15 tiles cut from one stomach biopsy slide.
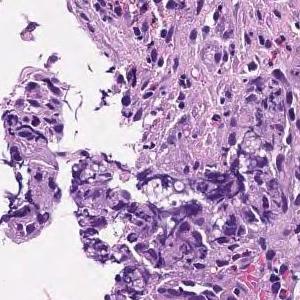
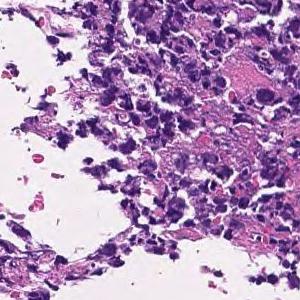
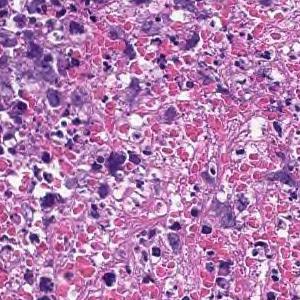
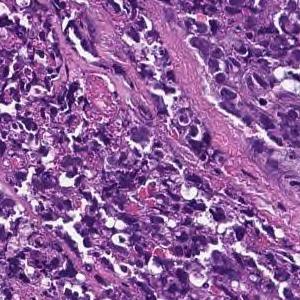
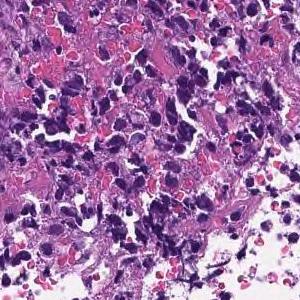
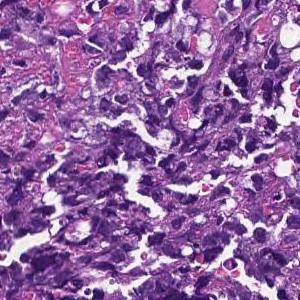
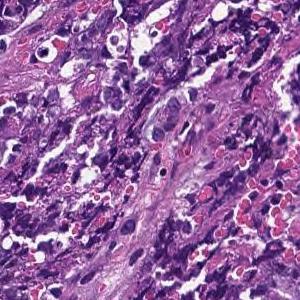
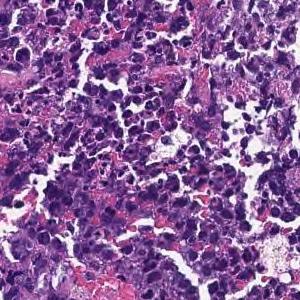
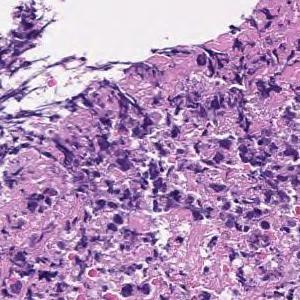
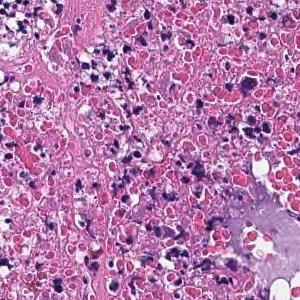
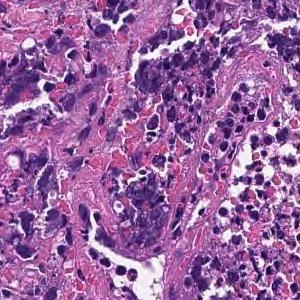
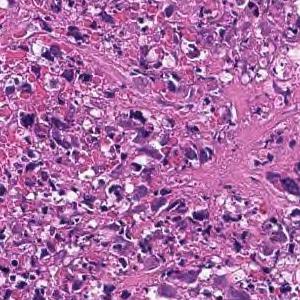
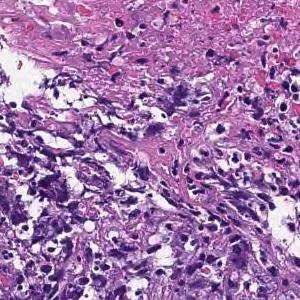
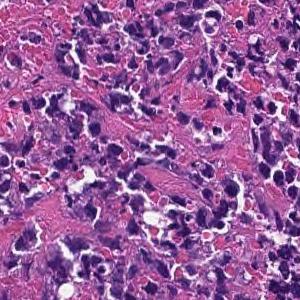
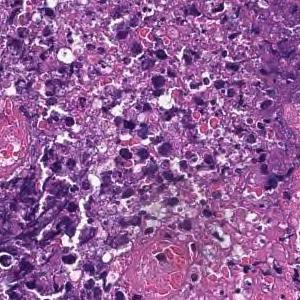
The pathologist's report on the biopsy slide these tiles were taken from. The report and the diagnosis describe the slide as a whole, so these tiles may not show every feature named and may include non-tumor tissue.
Most are composed of coagulative necrotic tissue, but some show a large sheet-like shape, and some show tumor tissue infiltrating with a small cord-like structure. Poorly differentiated adenocarcinoma, solid-type
Classified as poorly differentiated adenocarcinoma, solid type. This name comes from the Japanese Classification of Gastric Carcinoma; the WHO 2019 classification calls it tubular adenocarcinoma, poorly differentiated.
